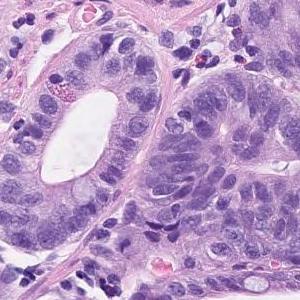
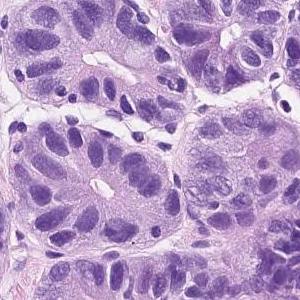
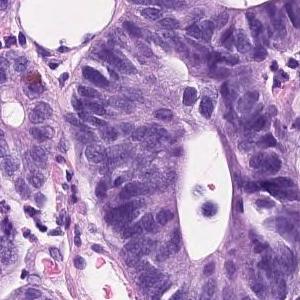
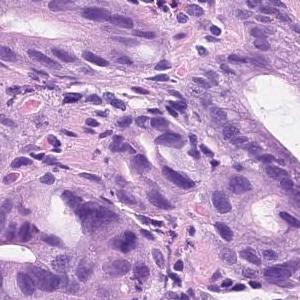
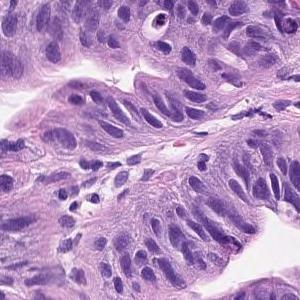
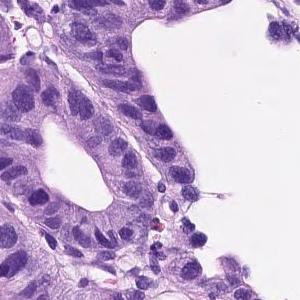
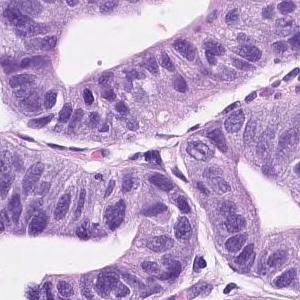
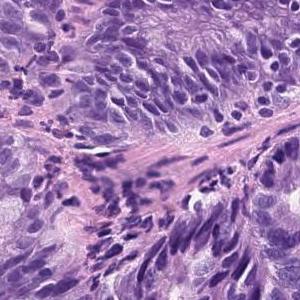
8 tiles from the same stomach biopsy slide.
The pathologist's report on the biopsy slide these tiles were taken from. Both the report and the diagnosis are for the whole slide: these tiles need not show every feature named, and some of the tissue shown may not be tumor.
Tumor tissue consisting of medium-sized and irregular ducts is observed infiltrating in the superficial epithelium. Tumor cells are highly columnar, with nuclei aligned basolaterally and polarized. Well differentiated tubular adenocarcinoma.
